13 tiles from the same stomach biopsy slide; 20× magnification; H&E stain.
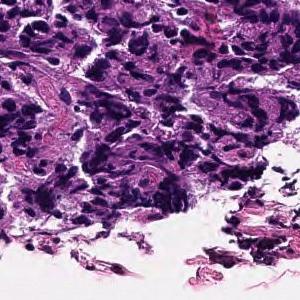
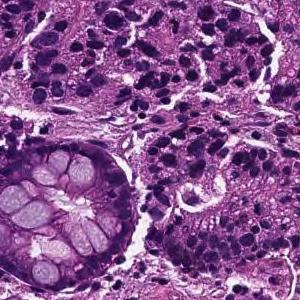
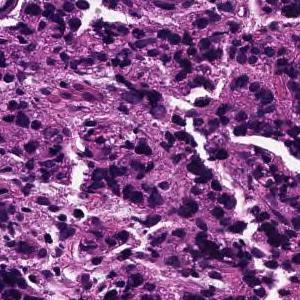
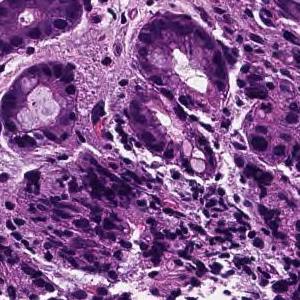
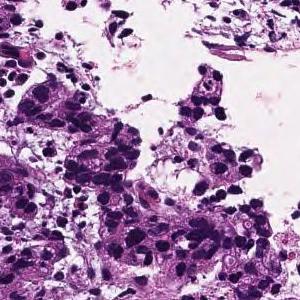
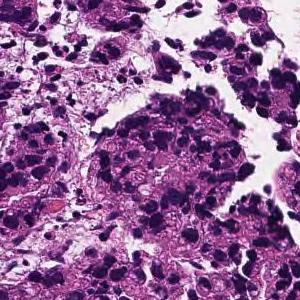
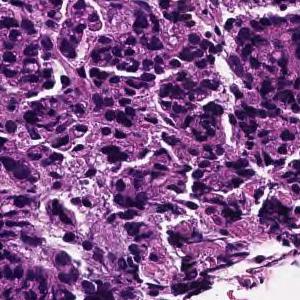
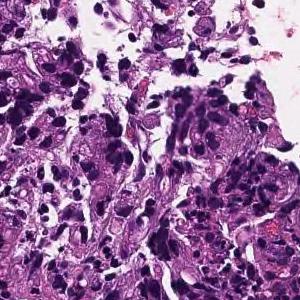
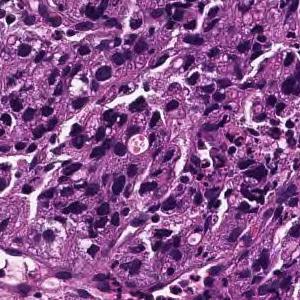
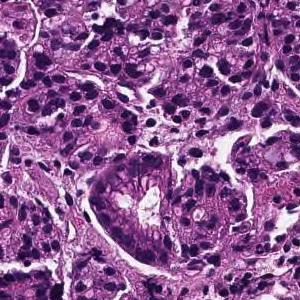
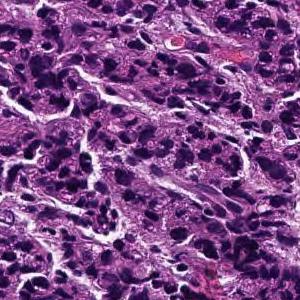
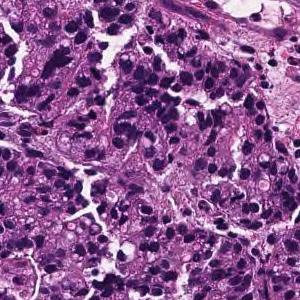
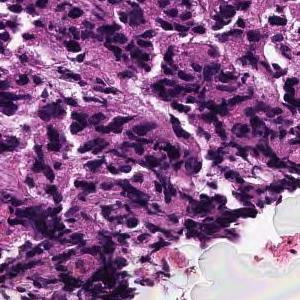
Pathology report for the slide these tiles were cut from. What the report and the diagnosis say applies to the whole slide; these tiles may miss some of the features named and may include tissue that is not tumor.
Tumor tissue consisting of medium-sized, cord-like or irregular glandular infiltration is observed in the superficial epithelium. Poorly differentiated adenocarcinoma, non-solid type or moderately differentiated tubular adenocarcinoma
Tumor subtype: moderately to poorly differentiated adenocarcinoma.
The non-solid type named here is a Japanese Classification of Gastric Carcinoma category.
